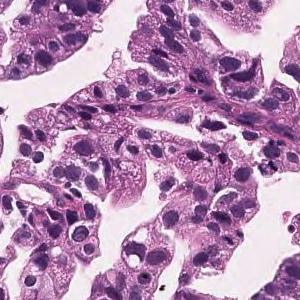
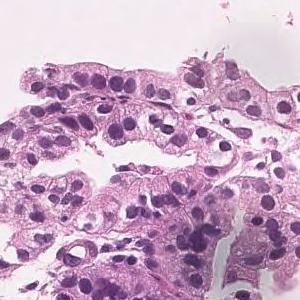
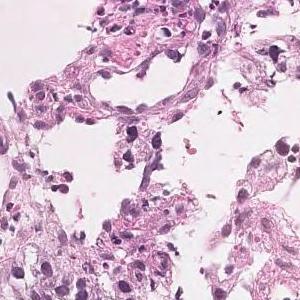
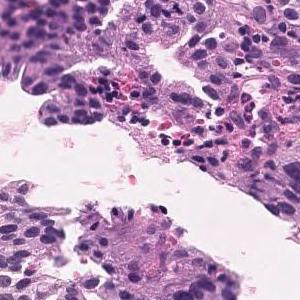
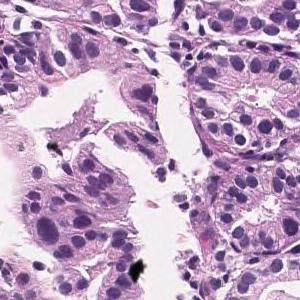
×20, H&E, 5 image tiles from a single gastric biopsy slide.
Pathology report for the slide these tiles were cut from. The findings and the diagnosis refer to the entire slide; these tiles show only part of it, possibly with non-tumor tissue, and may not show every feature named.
In the superficial epithelium, tumor tissue that invades by forming medium-sized to small, irregular ducts is observed. moderately differentiated tubular adenocarcinoma.
